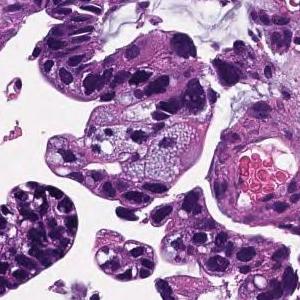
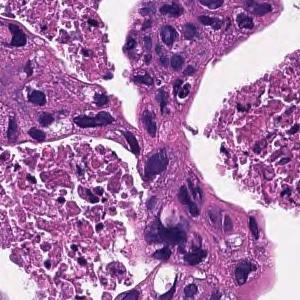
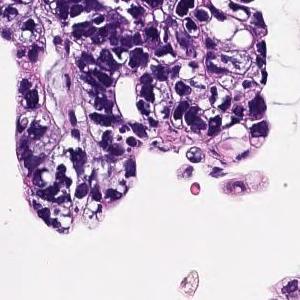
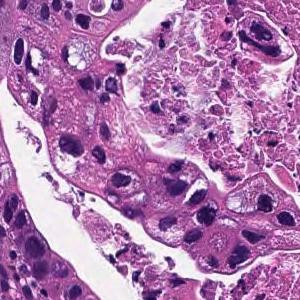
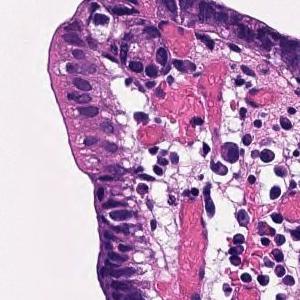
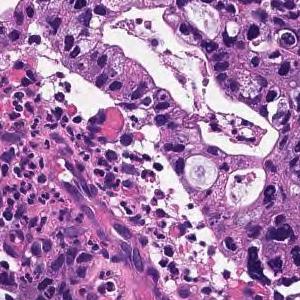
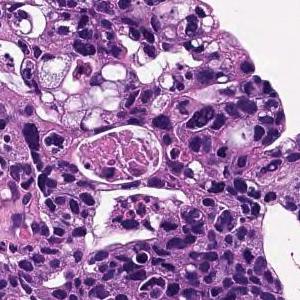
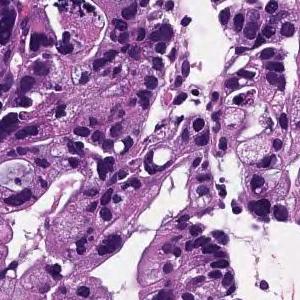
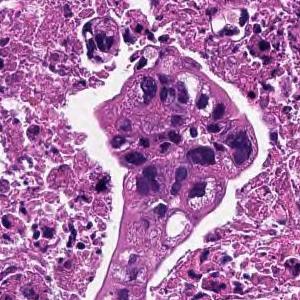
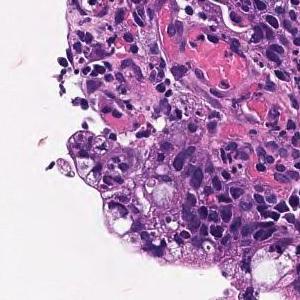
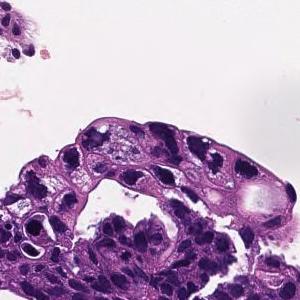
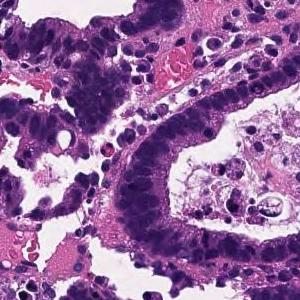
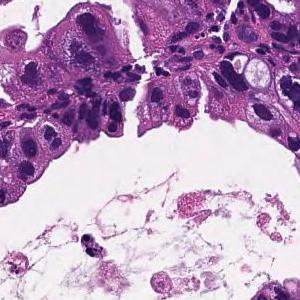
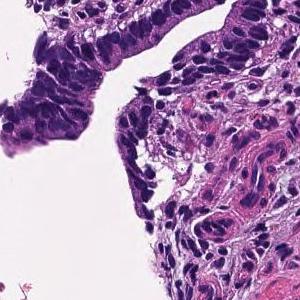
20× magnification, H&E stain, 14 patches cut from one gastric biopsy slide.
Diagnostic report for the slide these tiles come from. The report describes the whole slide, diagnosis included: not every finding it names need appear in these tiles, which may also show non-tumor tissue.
In the superficial epithelium, tumor tissue that invades by forming medium-sized to small, irregular ducts is observed. moderately differentiated tubular adenocarcinoma.
